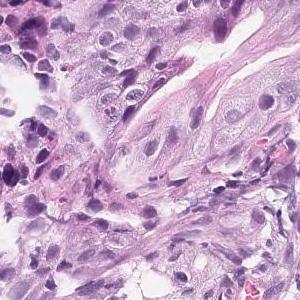
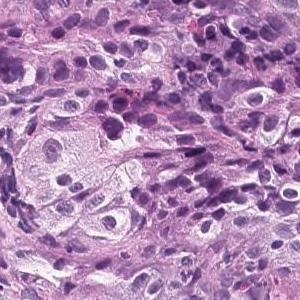
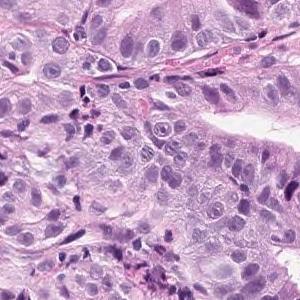
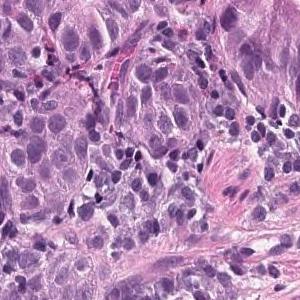
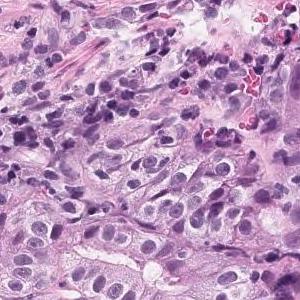
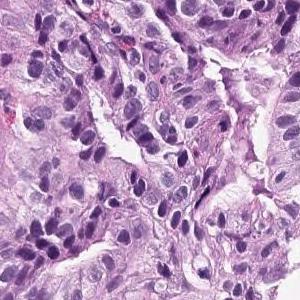
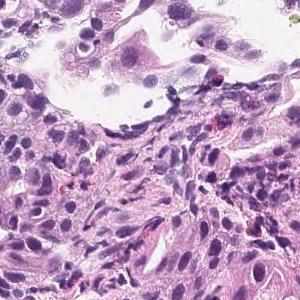
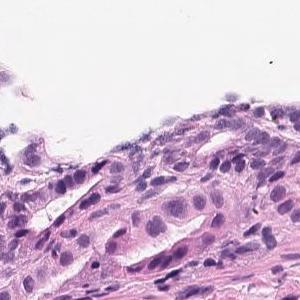
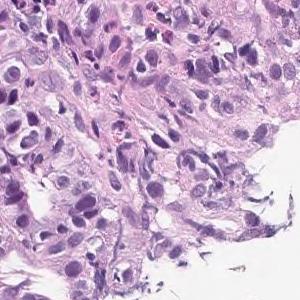
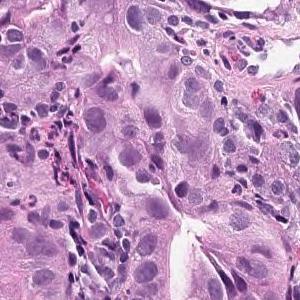
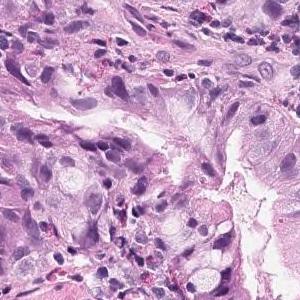
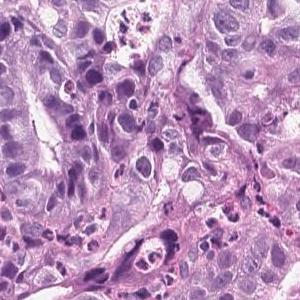
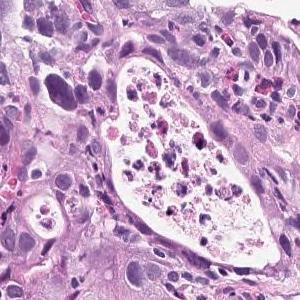
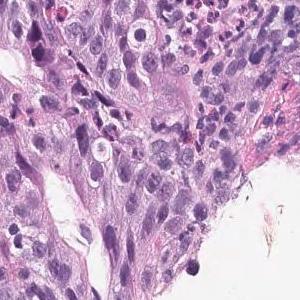
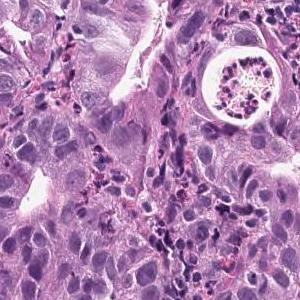
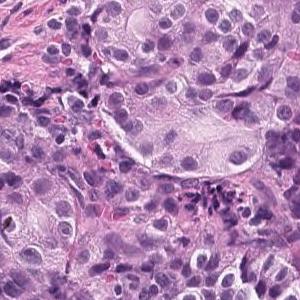
16 tiles cut from one stomach biopsy slide, 300 × 300 pixels each, scanned at ×20, hematoxylin and eosin stain.
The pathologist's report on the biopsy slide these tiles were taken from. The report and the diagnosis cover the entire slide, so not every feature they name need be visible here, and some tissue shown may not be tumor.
On the superficial epithelium, tumor tissue consisting of medium-sized to large-sized, irregular tubules partially fused and densely proliferating is observed. moderately differentiated tubular adenocarcinoma
